20× magnification · 9 tiles from the same stomach biopsy slide · 300×300 px each.
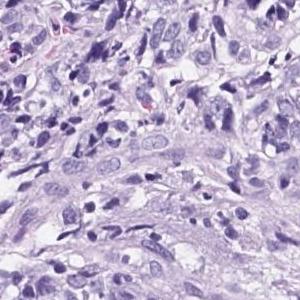
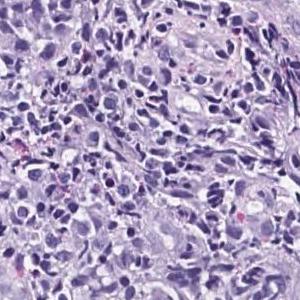
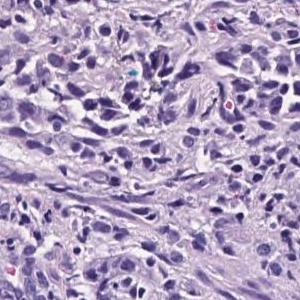
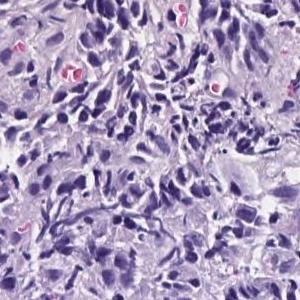
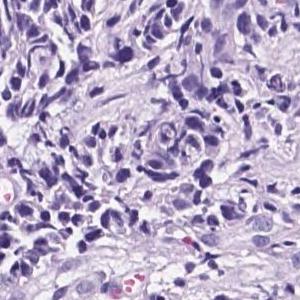
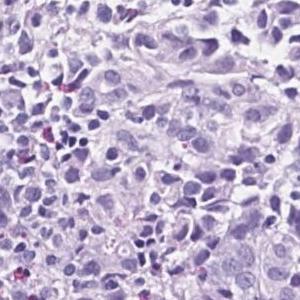
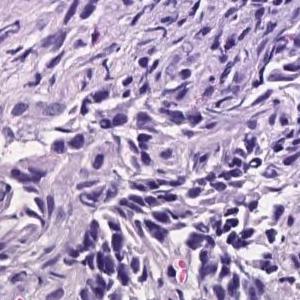
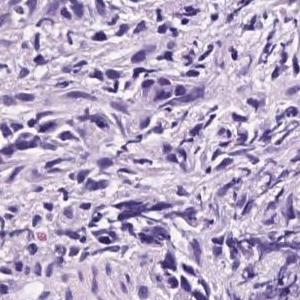
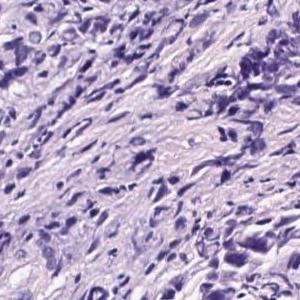
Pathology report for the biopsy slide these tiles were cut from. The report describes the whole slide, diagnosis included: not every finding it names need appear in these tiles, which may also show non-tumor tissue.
Medium to small atypical epithelial cells that become cord-like or irregularly agglomerated and infiltrate. Poorly differentiated adenocarcinoma
Histological subtype: Poorly differentiated adenocarcinoma, solid type (Japanese Classification of Gastric Carcinoma). The WHO 2019 equivalent is tubular adenocarcinoma, poorly differentiated.
